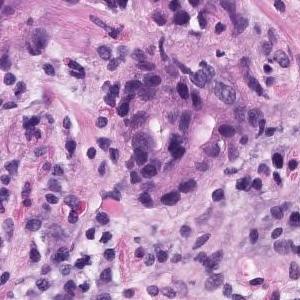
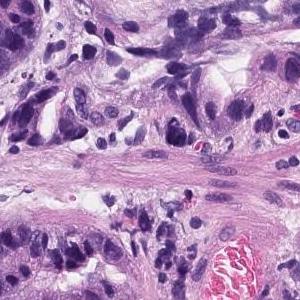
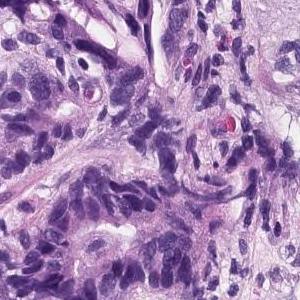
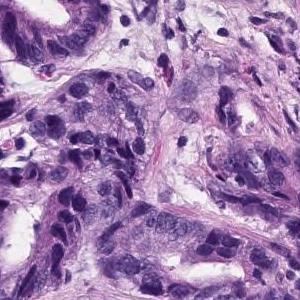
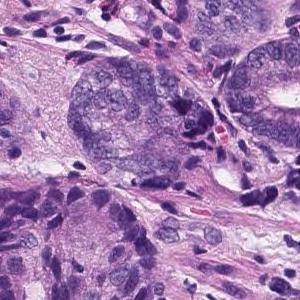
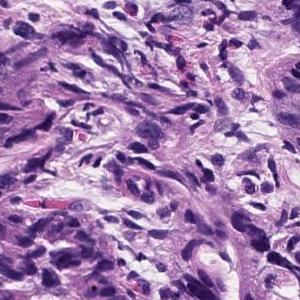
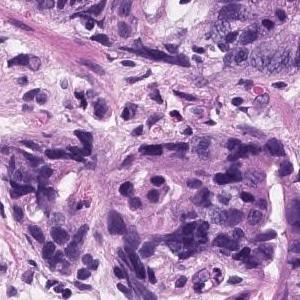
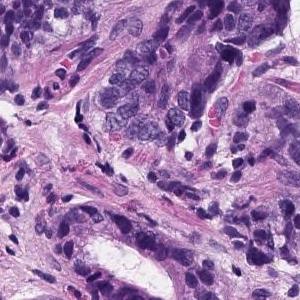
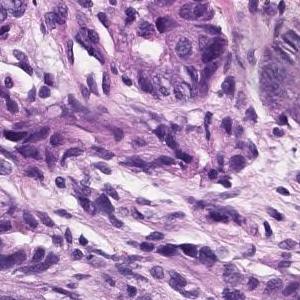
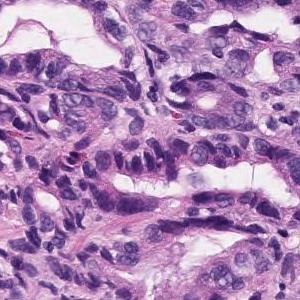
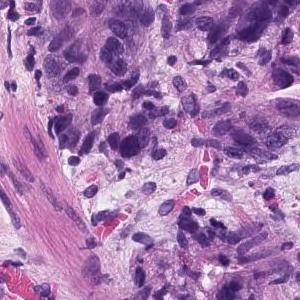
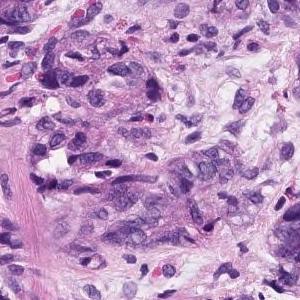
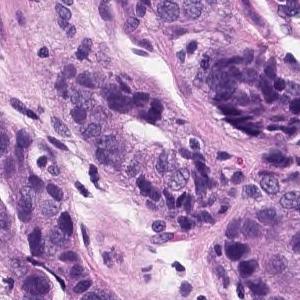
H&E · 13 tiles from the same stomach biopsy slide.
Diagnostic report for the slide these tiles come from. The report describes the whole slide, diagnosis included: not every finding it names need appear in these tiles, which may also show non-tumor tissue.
In the superficial epithelium, tumor tissue that invades by forming medium-sized to small, irregular ducts is observed. Moderately differentiated adenocarcinoma.
Histologic type: Moderately differentiated tubular adenocarcinoma.
